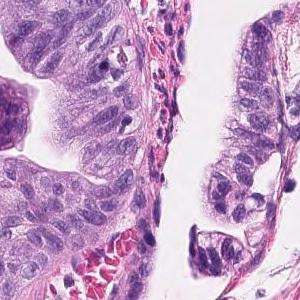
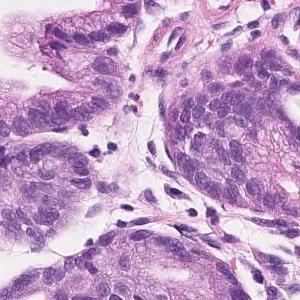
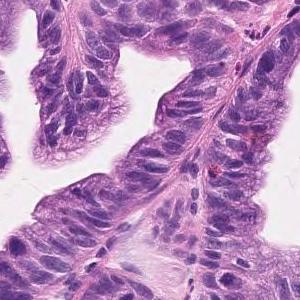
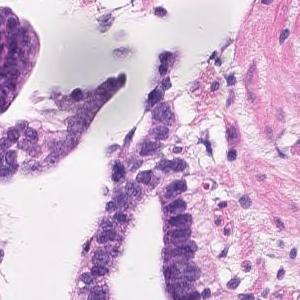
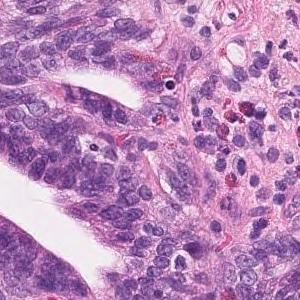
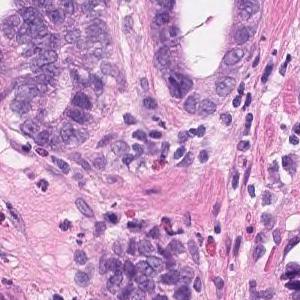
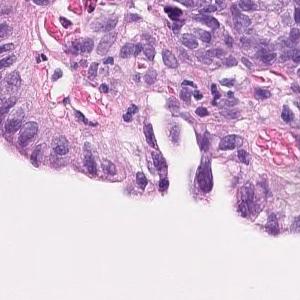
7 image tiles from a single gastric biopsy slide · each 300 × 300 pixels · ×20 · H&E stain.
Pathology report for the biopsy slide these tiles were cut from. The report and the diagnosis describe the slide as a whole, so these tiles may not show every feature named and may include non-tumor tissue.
Tumor cells are large, highly columnar, large club-shaped nuclei, and are associated with chromatin aggregation. Papillary adenocarcinoma.
